×20 · H&E stain · 15 tiles cut from one stomach biopsy slide.
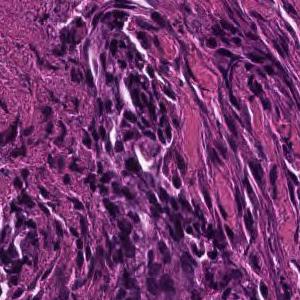
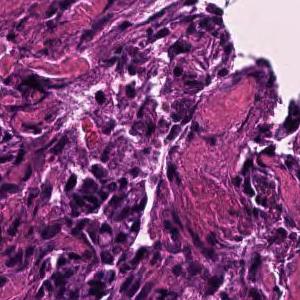
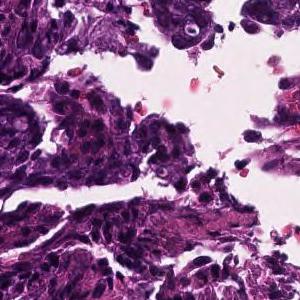
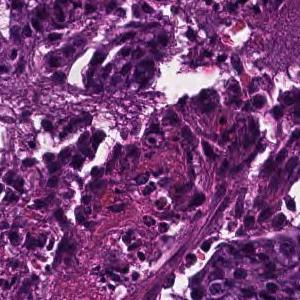
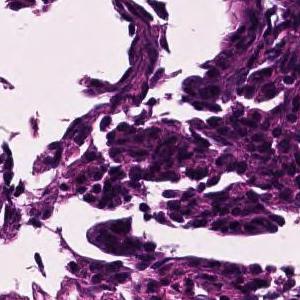
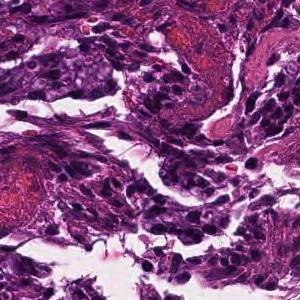
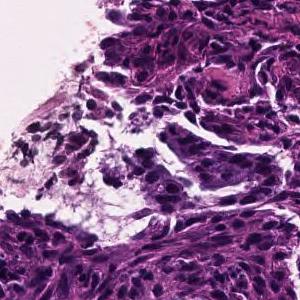
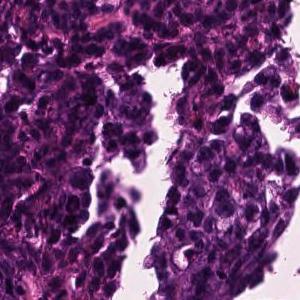
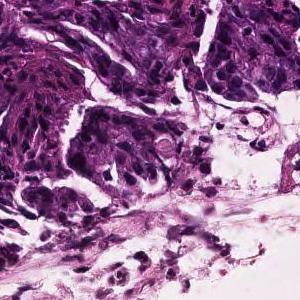
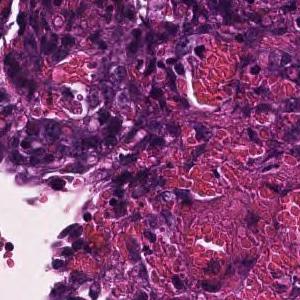
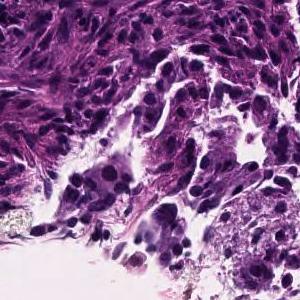
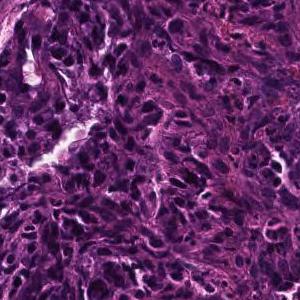
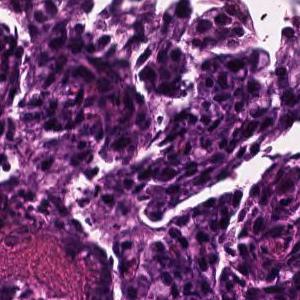
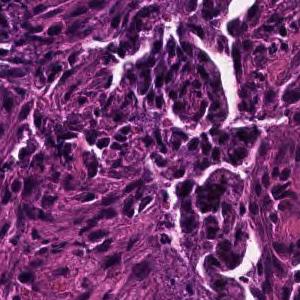
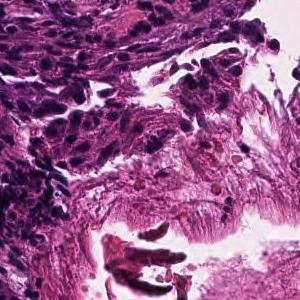
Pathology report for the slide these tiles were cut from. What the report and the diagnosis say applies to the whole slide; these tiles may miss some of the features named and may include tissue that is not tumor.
Tumor tissue consisting of medium-sized, cord-like or irregular glandular infiltration is observed in the superficial epithelium. Poorly differentiated adenocarcinoma, non-solid type or moderately differentiated tubular adenocarcinoma
Subtype: Moderately to poorly differentiated adenocarcinoma.
The non-solid type named here is a Japanese Classification of Gastric Carcinoma category.
